Hematoxylin and eosin stain, ×20, 10 tiles cut from one stomach biopsy slide, 300 × 300 pixels each.
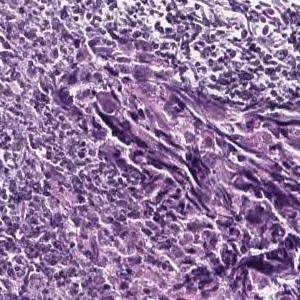
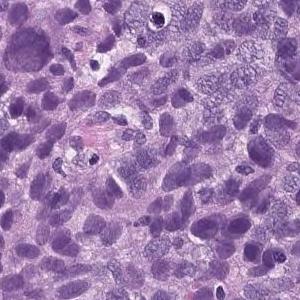
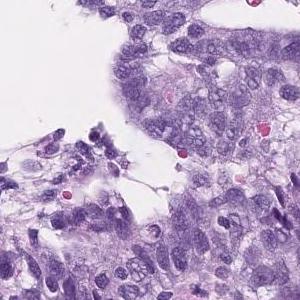
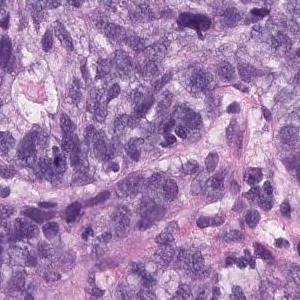
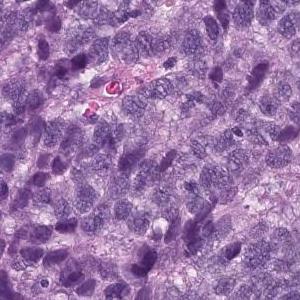
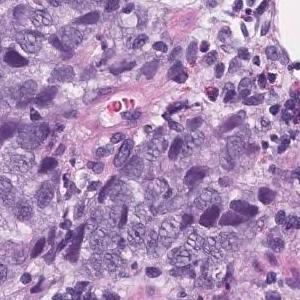
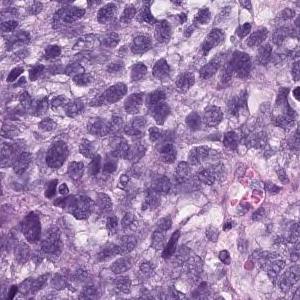
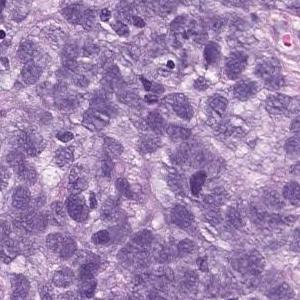
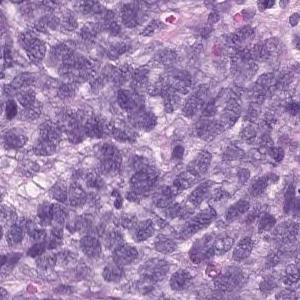
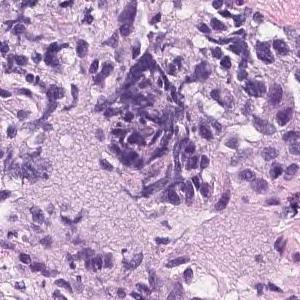
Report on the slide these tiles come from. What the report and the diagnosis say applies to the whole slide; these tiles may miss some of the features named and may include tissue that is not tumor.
Epithelial cells with swollen nuclei with atypia invasively proliferating while forming vesicles is observed. Poorly differentiated adenocarcinoma
Classified as poorly differentiated adenocarcinoma, solid type. This name comes from the Japanese Classification of Gastric Carcinoma; the WHO 2019 classification calls it tubular adenocarcinoma, poorly differentiated.
